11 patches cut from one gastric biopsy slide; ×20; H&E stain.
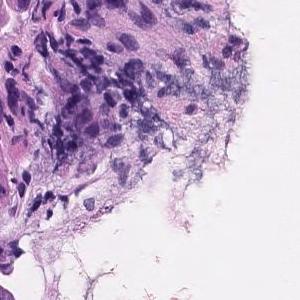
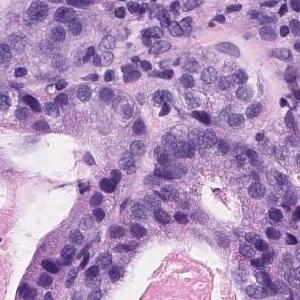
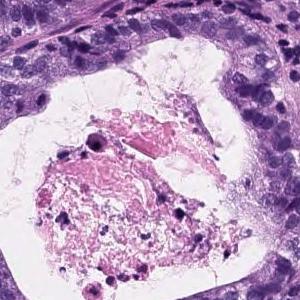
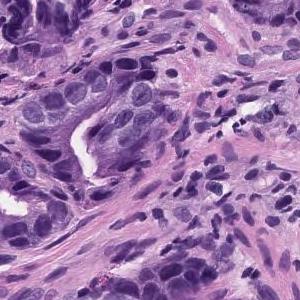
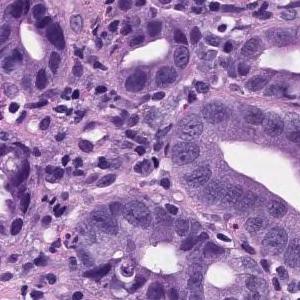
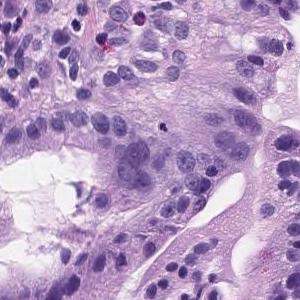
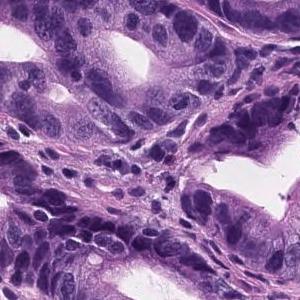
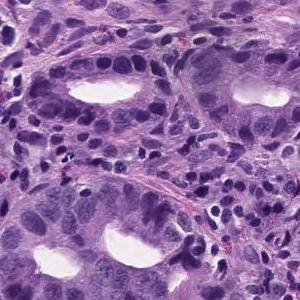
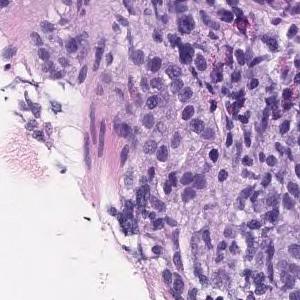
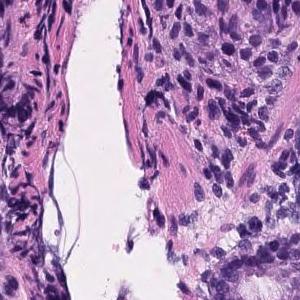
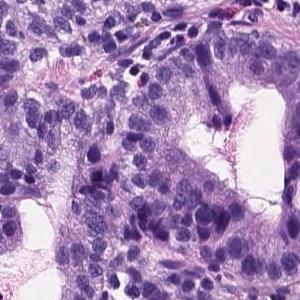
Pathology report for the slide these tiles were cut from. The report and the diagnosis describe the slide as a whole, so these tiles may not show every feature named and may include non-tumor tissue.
Tumor tissue consisting of medium-sized and irregular ducts is observed infiltrating in the superficial epithelium. Tumor cells are highly columnar, with nuclei aligned basolaterally and polarized. Well differentiated tubular adenocarcinoma.
